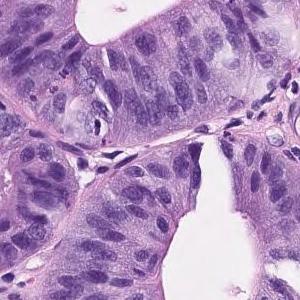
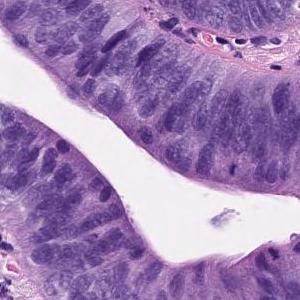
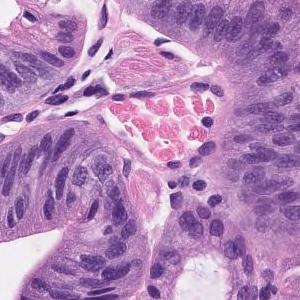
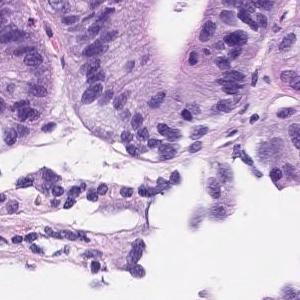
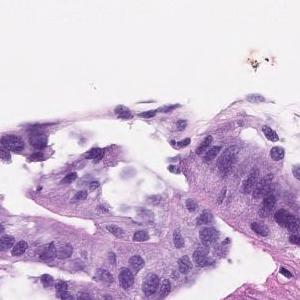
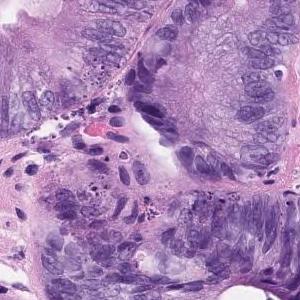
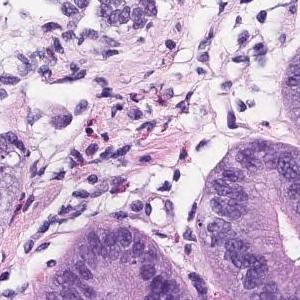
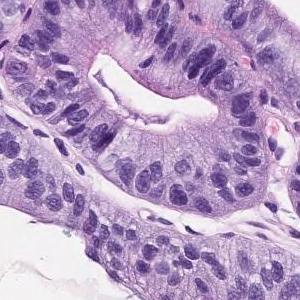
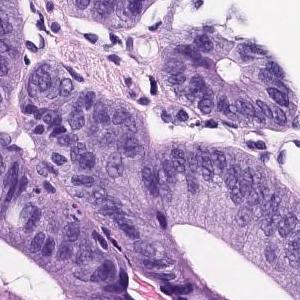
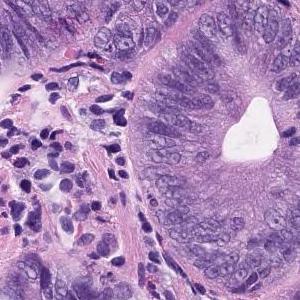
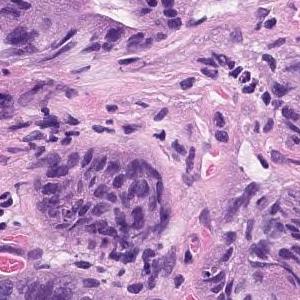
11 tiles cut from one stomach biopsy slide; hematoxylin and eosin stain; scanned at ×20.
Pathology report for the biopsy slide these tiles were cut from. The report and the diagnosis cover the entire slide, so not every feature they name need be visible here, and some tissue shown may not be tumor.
On the superficial epithelium, tumor tissue consisting of images of atypical ducts of different sizes partially fused and densely proliferating is observed. Well differentiated tubular adenocarcinoma
